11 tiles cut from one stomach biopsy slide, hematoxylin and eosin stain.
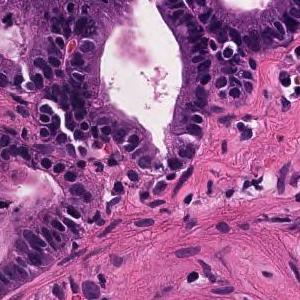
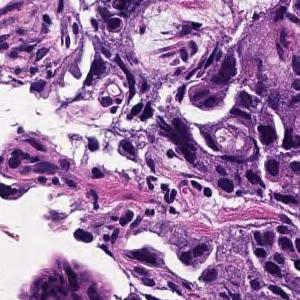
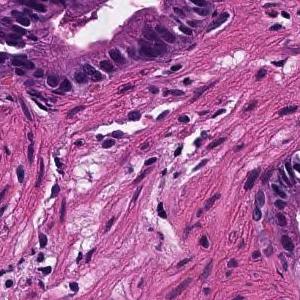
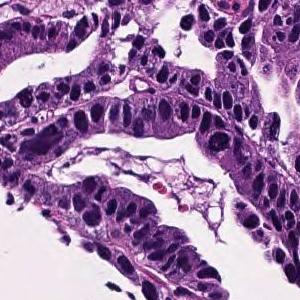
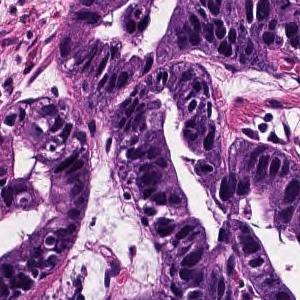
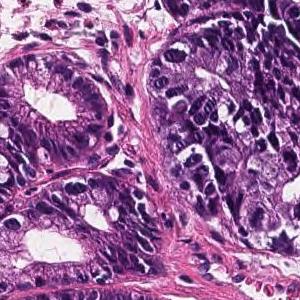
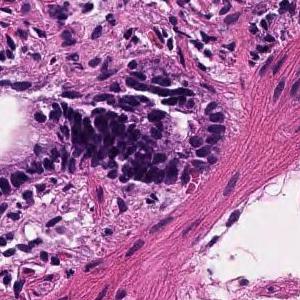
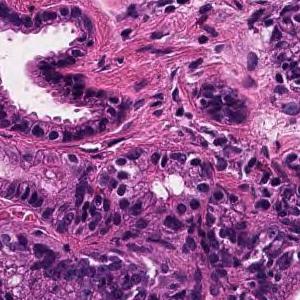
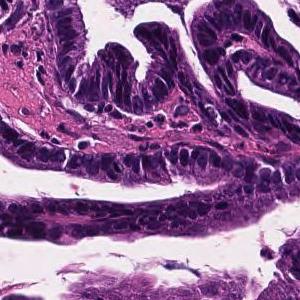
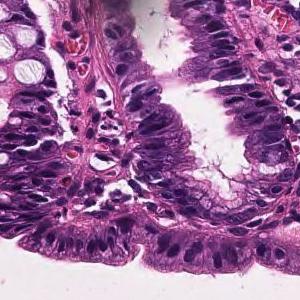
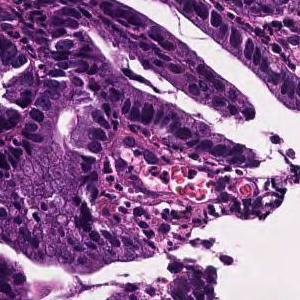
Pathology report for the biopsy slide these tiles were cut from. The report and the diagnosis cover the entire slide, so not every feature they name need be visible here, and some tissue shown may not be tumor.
Tumor cells are large, highly columnar, large club-shaped nuclei, and are associated with chromatin aggregation. Papillary adenocarcinoma.
